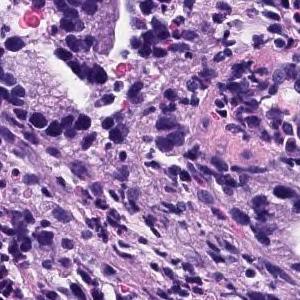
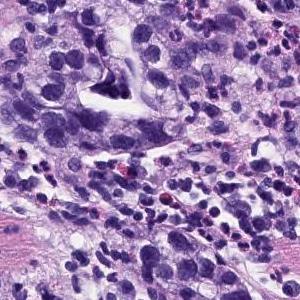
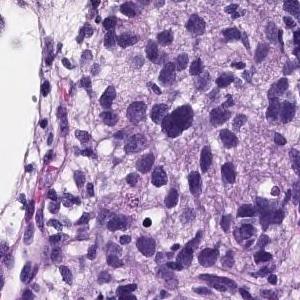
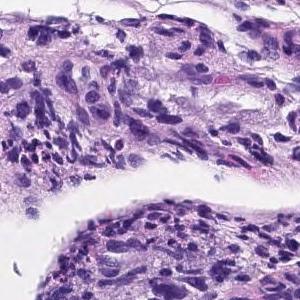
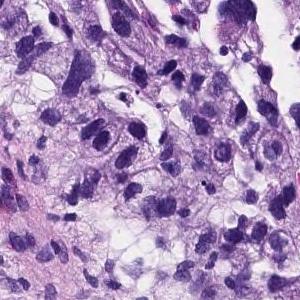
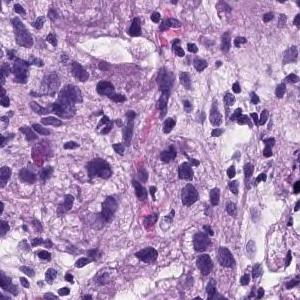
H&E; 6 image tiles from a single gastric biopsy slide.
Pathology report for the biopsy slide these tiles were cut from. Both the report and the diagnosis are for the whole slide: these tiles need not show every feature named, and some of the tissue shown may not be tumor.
Medium to small, irregular glandular ducts are formed in the superficial epithelium, and in some cases, the glandular ducts are fused to show solid alveolar lesions and infiltrating tumor tissue is observed. Poorly differentiated adenocarcinoma, Moderately differentiated adenocarcinoma.
The dataset labels this slide moderately differentiated tubular adenocarcinoma.
